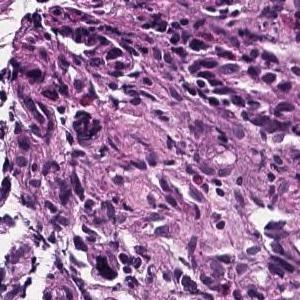
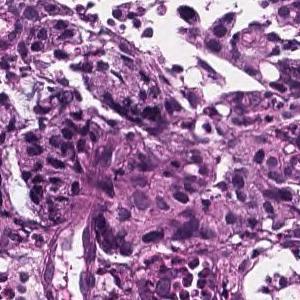
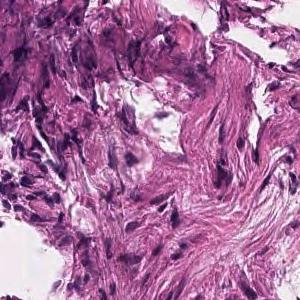
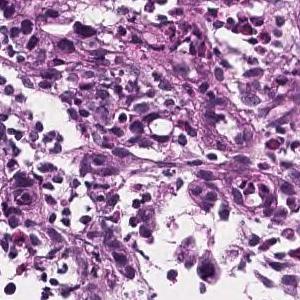
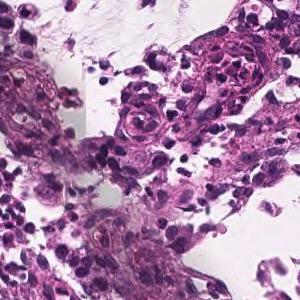
5 patches cut from one gastric biopsy slide · ×20 · H&E.
Pathology report for the slide these tiles were cut from. What the report and the diagnosis say applies to the whole slide; these tiles may miss some of the features named and may include tissue that is not tumor.
Atypical epithelial cells form obscure ductal structures or small solid follicles, and tumor tissue that proliferates invasively with proliferation of inflammatory granulation tissue is observed. Mucinous adenocarcinoma .
